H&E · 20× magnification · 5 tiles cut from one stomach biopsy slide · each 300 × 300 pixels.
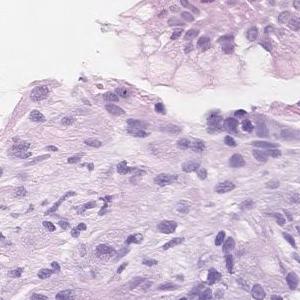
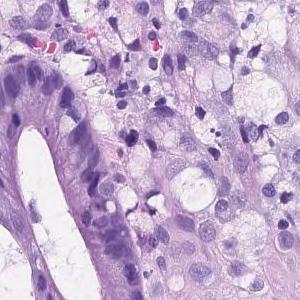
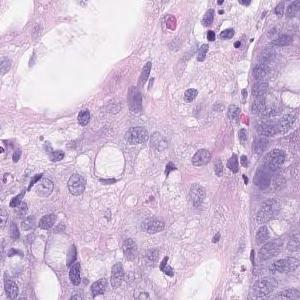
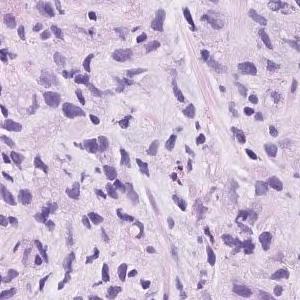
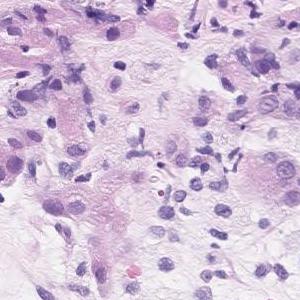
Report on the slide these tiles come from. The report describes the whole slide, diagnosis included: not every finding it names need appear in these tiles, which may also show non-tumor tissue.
Group 5, Adenocarcinoma. Poorly differentiated adenocarcinoma, non-solid type
"Non-solid type" is a category of the Japanese Classification of Gastric Carcinoma.
